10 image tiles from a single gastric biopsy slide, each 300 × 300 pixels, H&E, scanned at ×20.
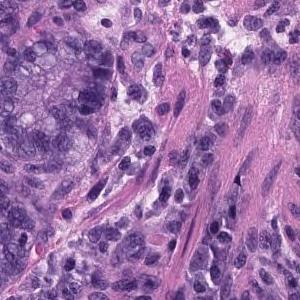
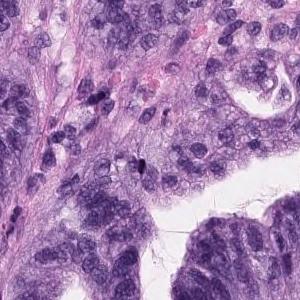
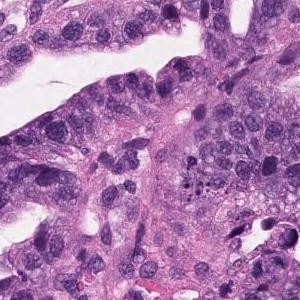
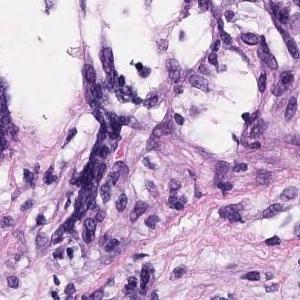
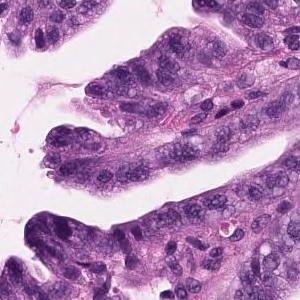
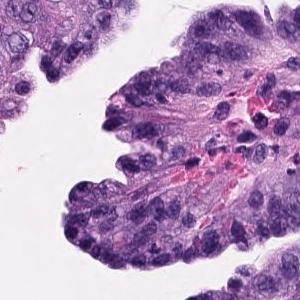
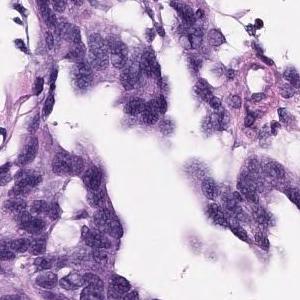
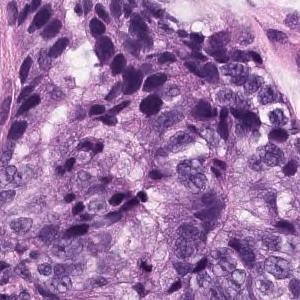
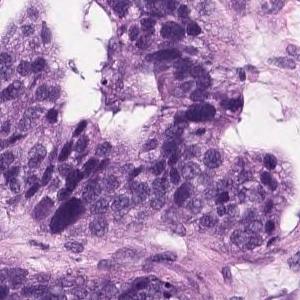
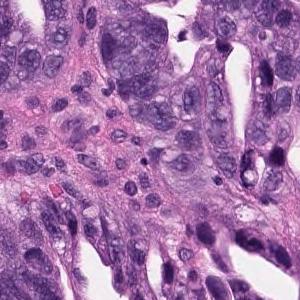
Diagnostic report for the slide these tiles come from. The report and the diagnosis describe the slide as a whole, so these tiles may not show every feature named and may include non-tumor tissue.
Tumor cells are large, highly columnar, large club-shaped nuclei, and are associated with chromatin aggregation. Papillary adenocarcinoma.
